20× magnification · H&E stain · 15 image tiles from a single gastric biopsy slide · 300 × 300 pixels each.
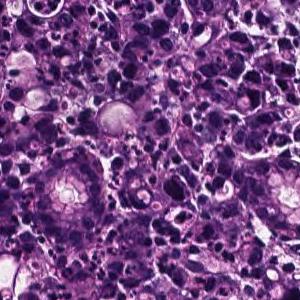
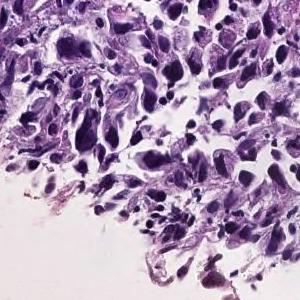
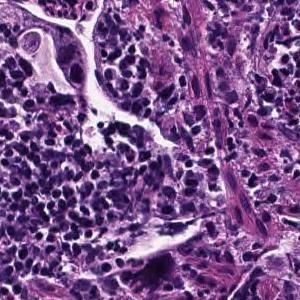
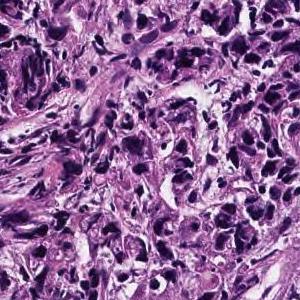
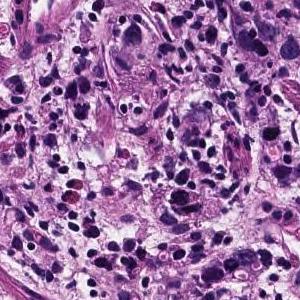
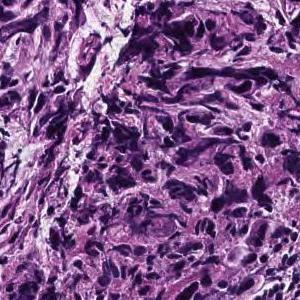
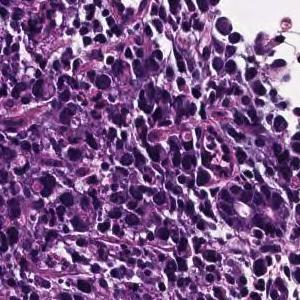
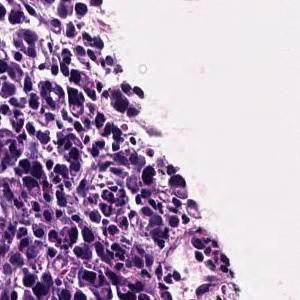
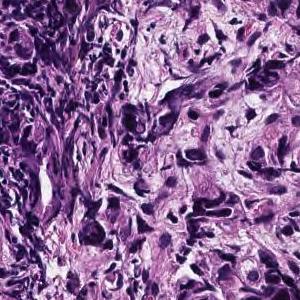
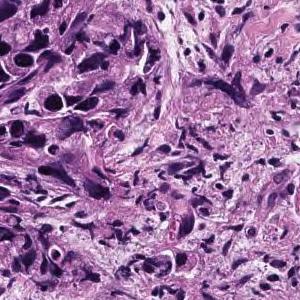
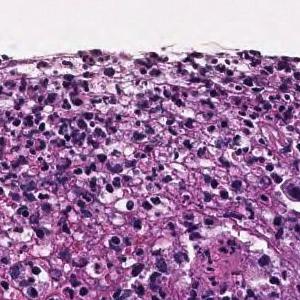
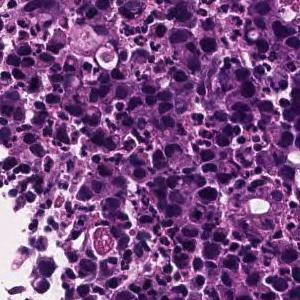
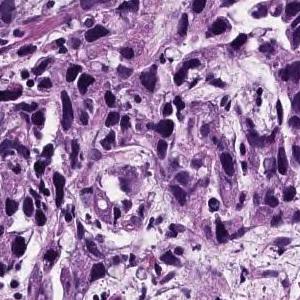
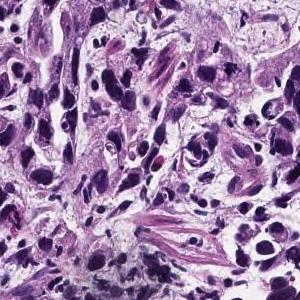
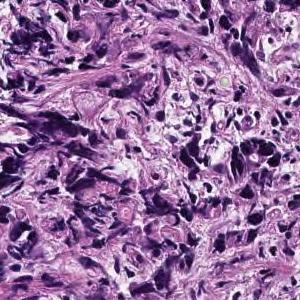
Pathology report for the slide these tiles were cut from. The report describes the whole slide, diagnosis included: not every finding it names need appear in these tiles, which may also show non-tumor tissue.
The superficial epithelium shows a large sheet-like shape, and some tumor tissue infiltrates with small irregular ducts. Poorly differentiated adenocarcinoma, solid-type
Subtype: Poorly differentiated adenocarcinoma, solid type. This name comes from the Japanese Classification of Gastric Carcinoma; the WHO 2019 classification calls it tubular adenocarcinoma, poorly differentiated.
